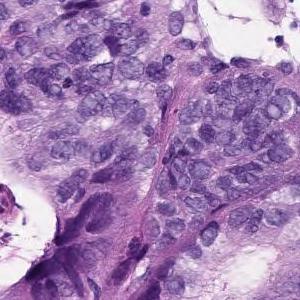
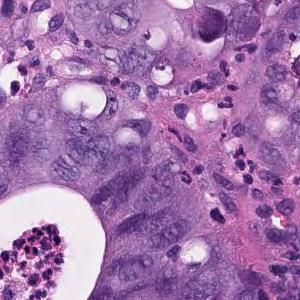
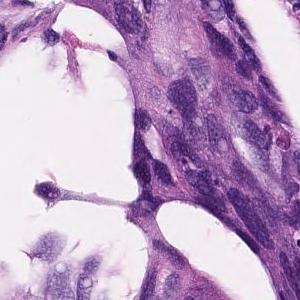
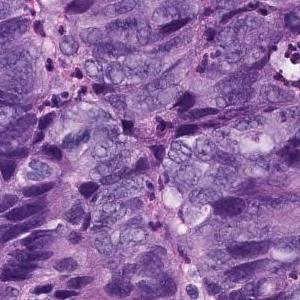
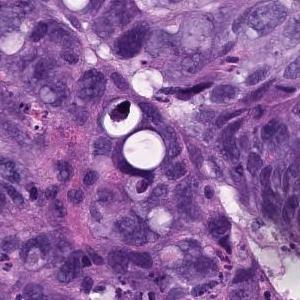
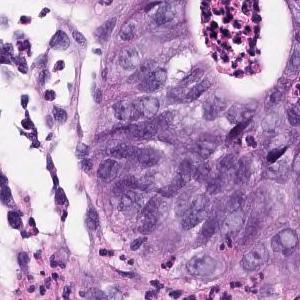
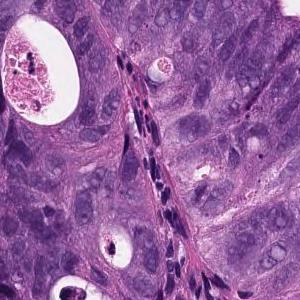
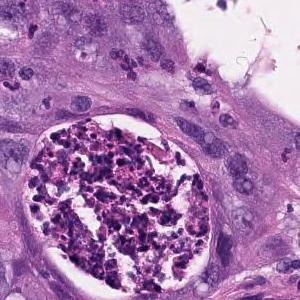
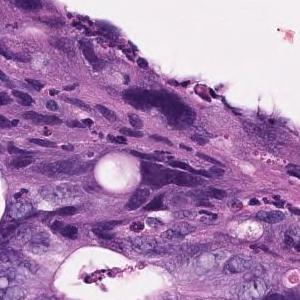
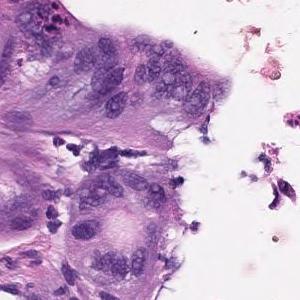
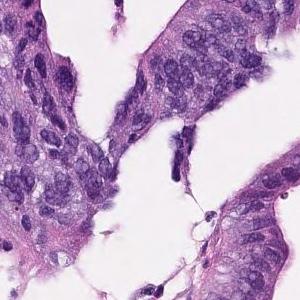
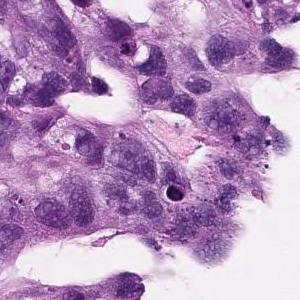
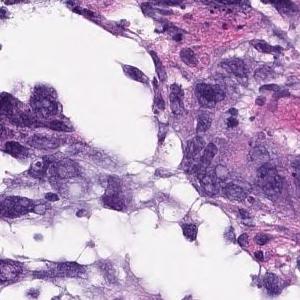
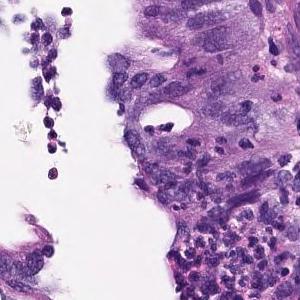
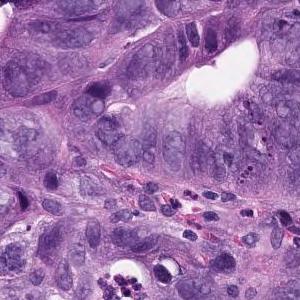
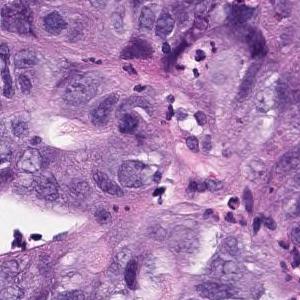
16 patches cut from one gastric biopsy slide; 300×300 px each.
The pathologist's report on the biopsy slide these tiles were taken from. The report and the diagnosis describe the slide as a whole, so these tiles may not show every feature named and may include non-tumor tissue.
In the superficial epithelium, tumor tissue that invades by forming medium-sized to small, irregular ducts is observed. Moderately differentiated adenocarcinoma.
Classified as moderately differentiated tubular adenocarcinoma.
